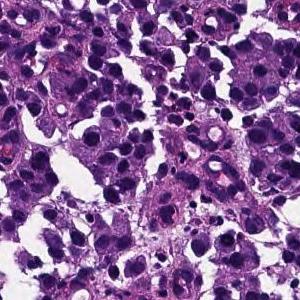
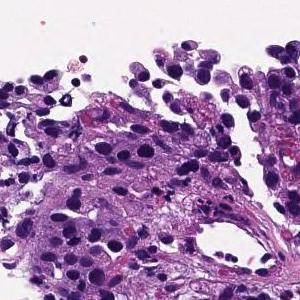
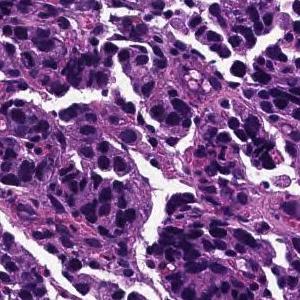
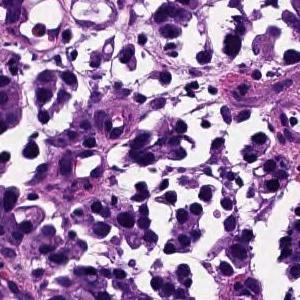
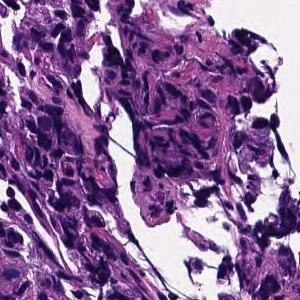
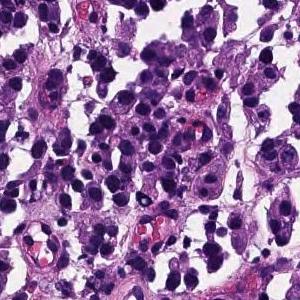
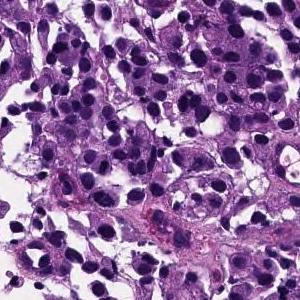
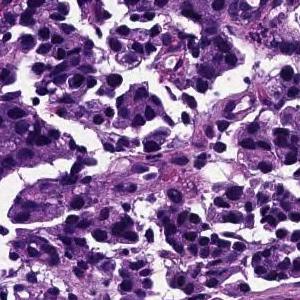
20× magnification, H&E stain, 8 tiles from the same stomach biopsy slide, 300×300 px each.
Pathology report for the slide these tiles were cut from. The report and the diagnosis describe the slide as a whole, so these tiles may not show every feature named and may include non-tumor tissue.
The superficial epithelium shows a large alveolar shape and infiltrates tumor tissue. Poorly differentiated adenocarcinoma, solid-type
Histologic type: Poorly differentiated adenocarcinoma, solid type, a category of the Japanese Classification of Gastric Carcinoma; in the WHO 2019 classification it is tubular adenocarcinoma, poorly differentiated.
